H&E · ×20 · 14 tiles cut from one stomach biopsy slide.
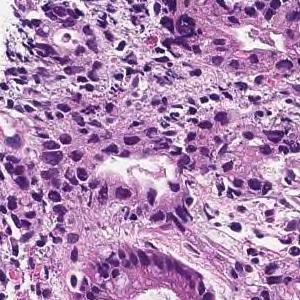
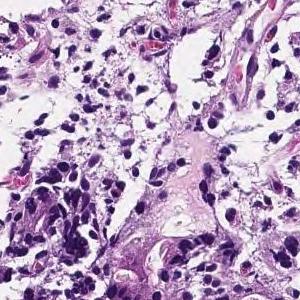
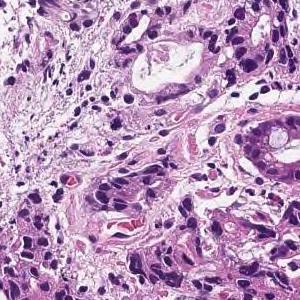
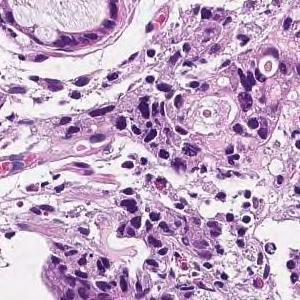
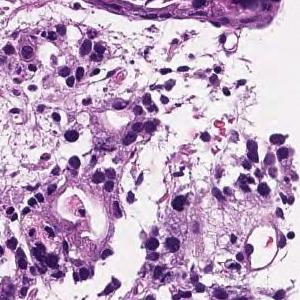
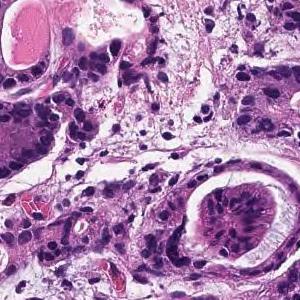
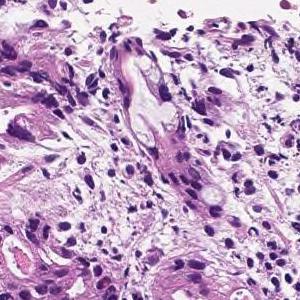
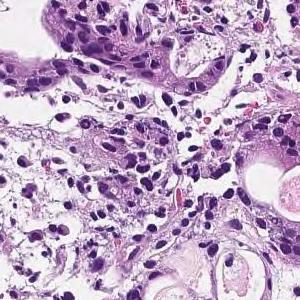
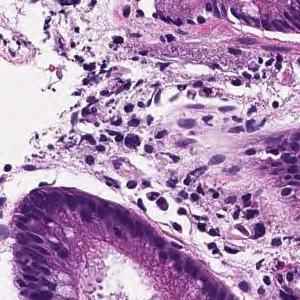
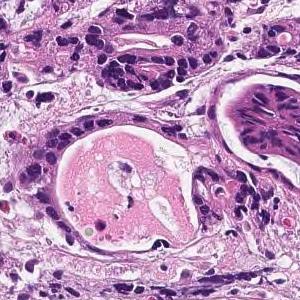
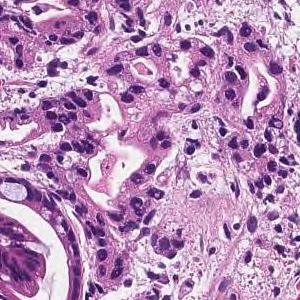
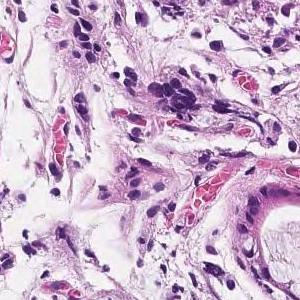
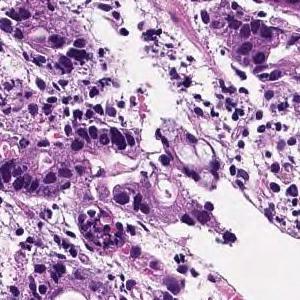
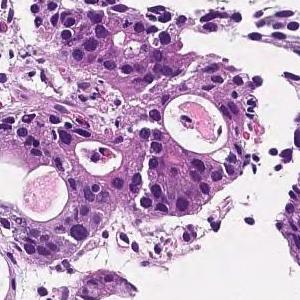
The pathologist's report on the biopsy slide these tiles were taken from. The report and the diagnosis describe the slide as a whole, so these tiles may not show every feature named and may include non-tumor tissue.
In the superficial epithelium, tumor tissue that invades by forming medium-sized to small, irregular ducts is observed. moderately differentiated tubular adenocarcinoma.
